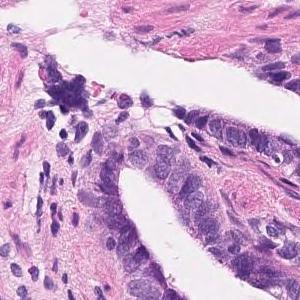
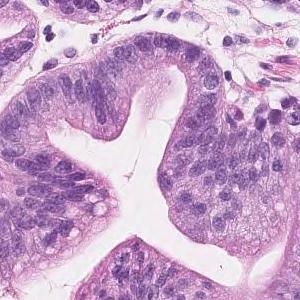
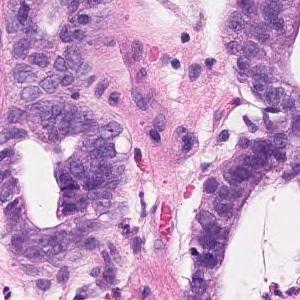
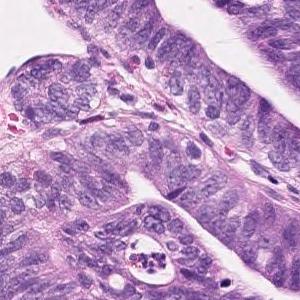
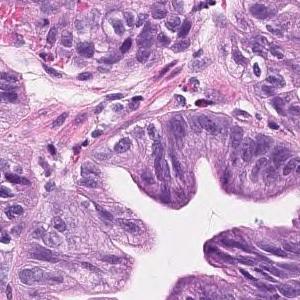
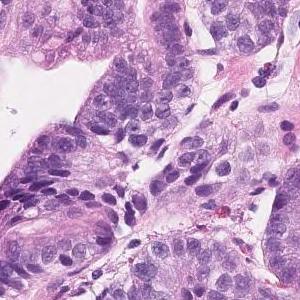
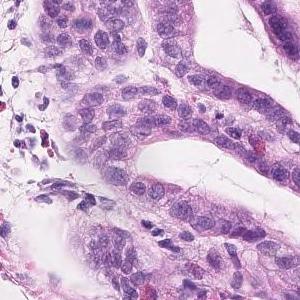
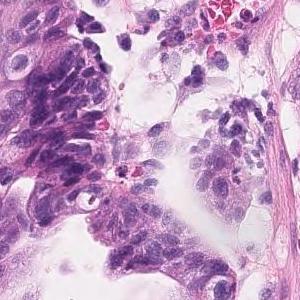
8 tiles cut from one stomach biopsy slide, 300×300 px each, H&E, scanned at ×20.
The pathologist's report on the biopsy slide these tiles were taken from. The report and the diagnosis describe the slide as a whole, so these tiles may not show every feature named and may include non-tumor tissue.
Tumor cells are large, highly columnar, large club-shaped nuclei, and are associated with chromatin aggregation. Papillary adenocarcinoma.
